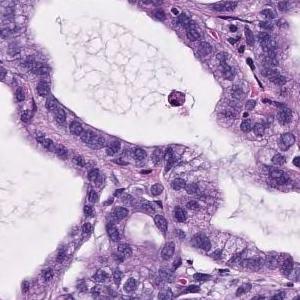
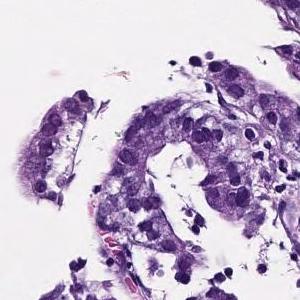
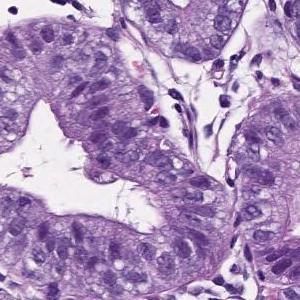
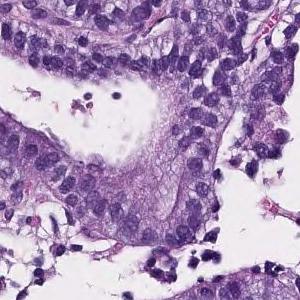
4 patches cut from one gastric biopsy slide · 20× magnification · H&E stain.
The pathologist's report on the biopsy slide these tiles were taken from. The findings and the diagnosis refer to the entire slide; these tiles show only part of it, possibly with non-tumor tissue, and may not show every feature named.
On the superficial epithelium, tumor tissue that infiltrates by forming medium-sized papillary or small irregular ducts is observed. Papillary adenocarcinoma
